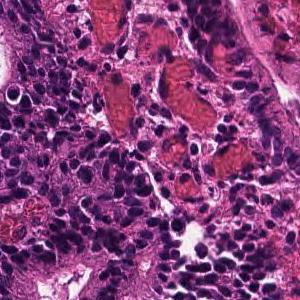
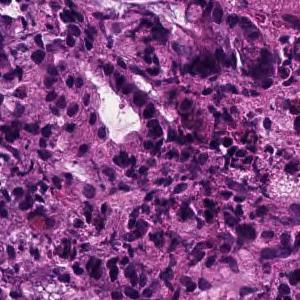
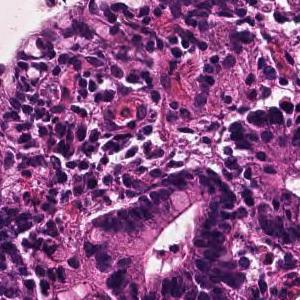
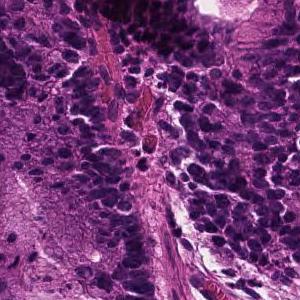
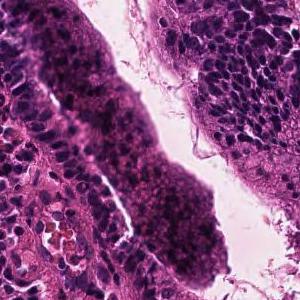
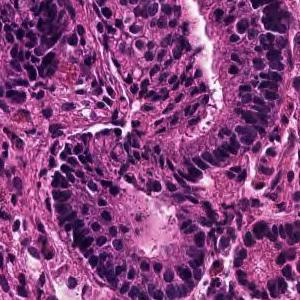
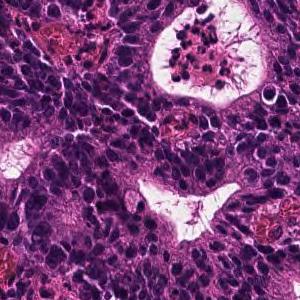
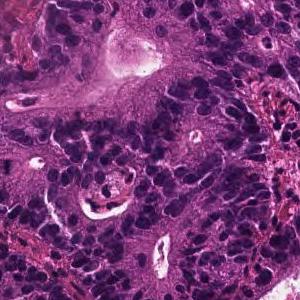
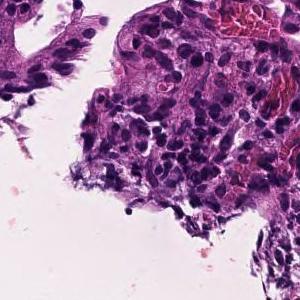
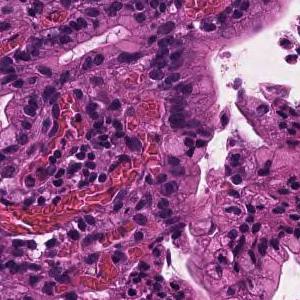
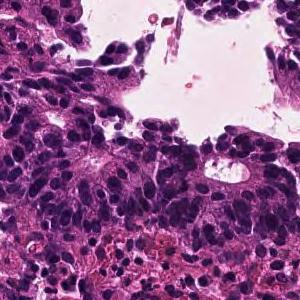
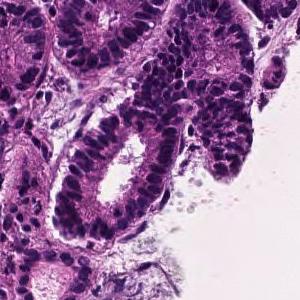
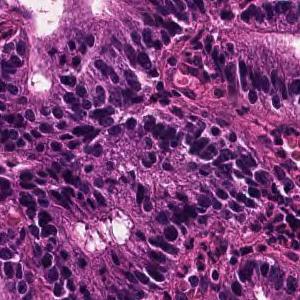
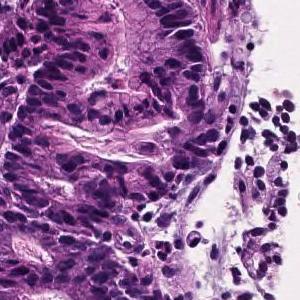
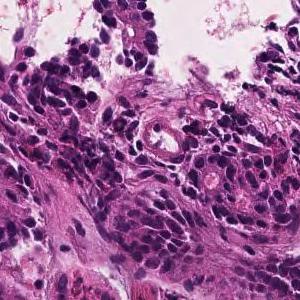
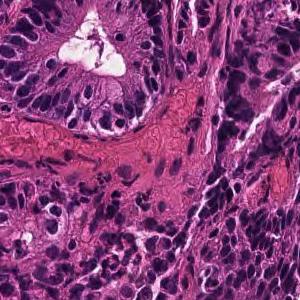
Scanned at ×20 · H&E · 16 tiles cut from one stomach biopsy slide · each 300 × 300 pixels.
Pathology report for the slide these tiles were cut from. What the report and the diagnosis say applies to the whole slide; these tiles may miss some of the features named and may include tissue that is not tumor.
In the superficial epithelium, tumor tissue that invades by forming medium-sized to small, irregular ducts is observed. moderately differentiated tubular adenocarcinoma.
